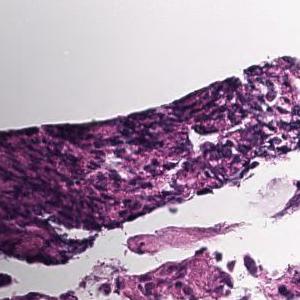
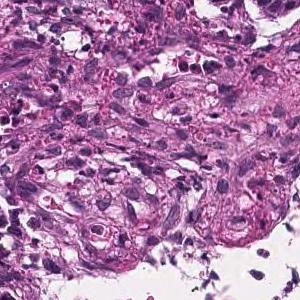
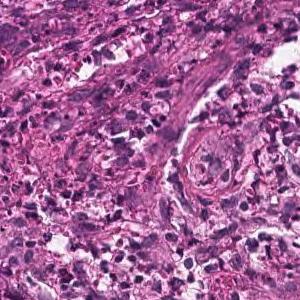
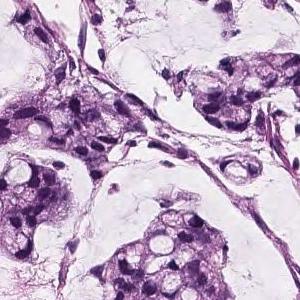
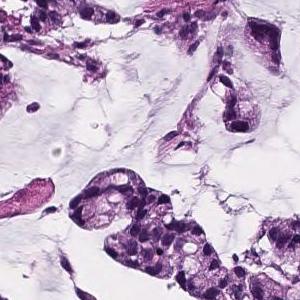
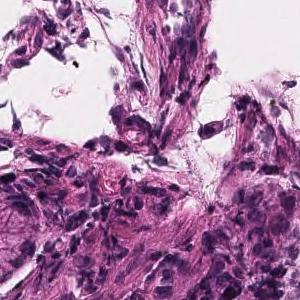
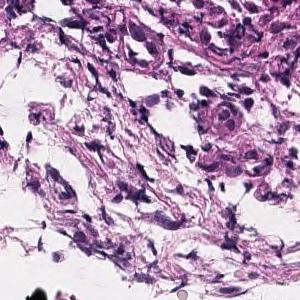
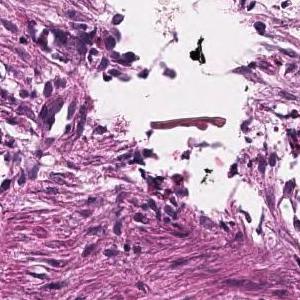
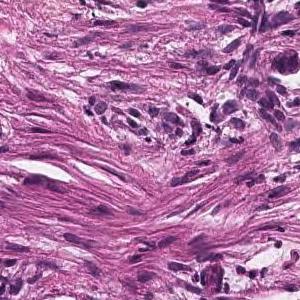
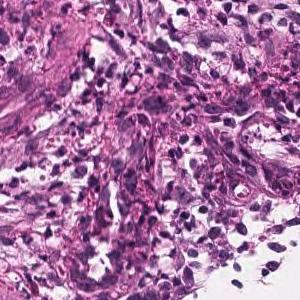
Hematoxylin and eosin stain; 10 tiles from the same stomach biopsy slide.
Pathology report for the biopsy slide these tiles were cut from. The report and the diagnosis describe the slide as a whole, so these tiles may not show every feature named and may include non-tumor tissue.
Atypical epithelial cells form obscure ductal structures or small solid follicles, and tumor tissue that proliferates invasively with proliferation of inflammatory granulation tissue is observed. Mucinous adenocarcinoma .
